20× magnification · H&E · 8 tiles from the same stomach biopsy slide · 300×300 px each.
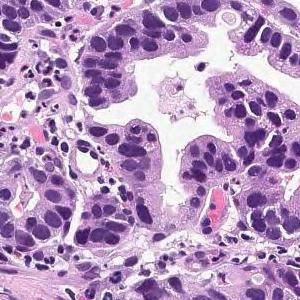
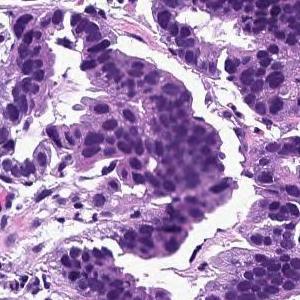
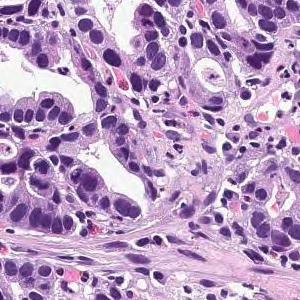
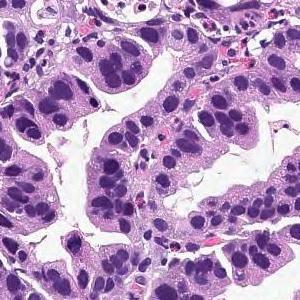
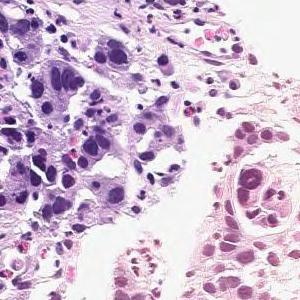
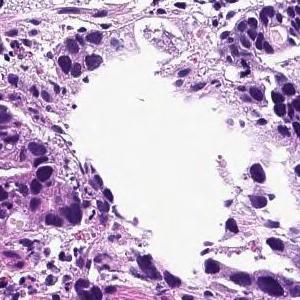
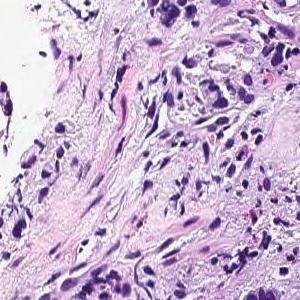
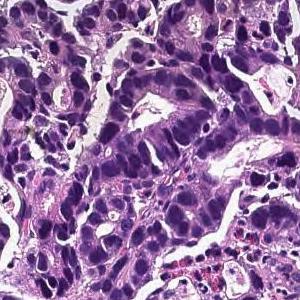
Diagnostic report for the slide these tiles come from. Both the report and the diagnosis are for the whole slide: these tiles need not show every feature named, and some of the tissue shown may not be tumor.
On the superficial epithelium, tumor tissue consisting of large irregular glandular ducts partially fused and infiltrated is observed. Well to moderately differentiated tubular adenocarcinoma (well differentiated tubular adenocarcinoma, moderately differentiated tubular adenocarcinoma)
Subtype: Well to moderately differentiated tubular adenocarcinoma.
